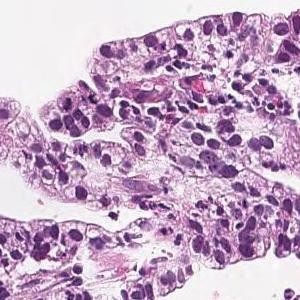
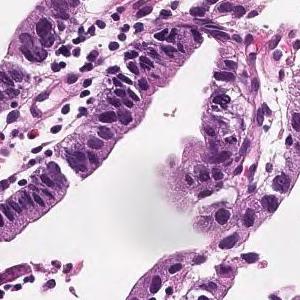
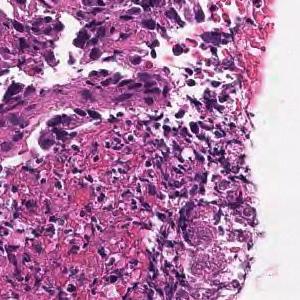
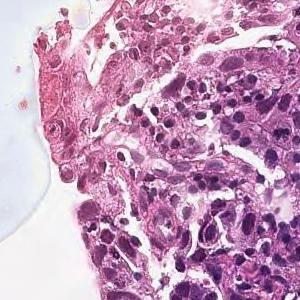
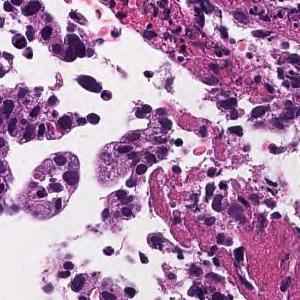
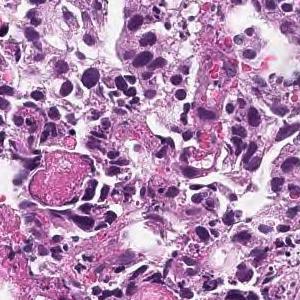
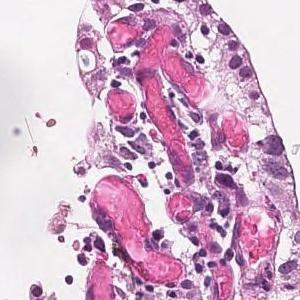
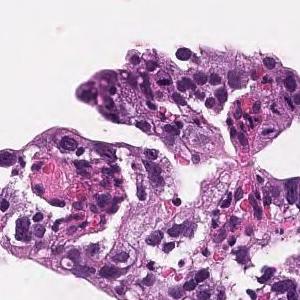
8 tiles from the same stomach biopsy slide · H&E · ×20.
Pathology report for the biopsy slide these tiles were cut from. What the report and the diagnosis say applies to the whole slide; these tiles may miss some of the features named and may include tissue that is not tumor.
Tumor tissue consisting of medium-sized, cord-like or irregular glandular infiltration is observed in the superficial epithelium. Poorly differentiated adenocarcinoma, non-solid type or moderately differentiated tubular adenocarcinoma
Tumor subtype: moderately to poorly differentiated adenocarcinoma.
"Non-solid type" is a category of the Japanese Classification of Gastric Carcinoma.
